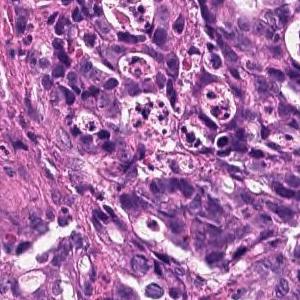
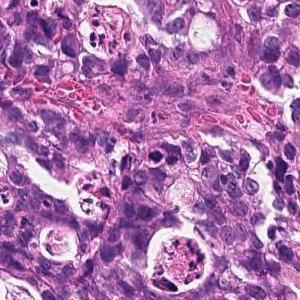
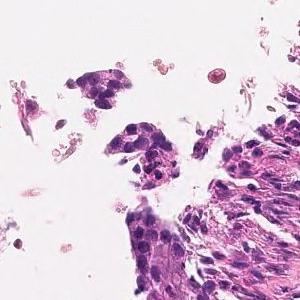
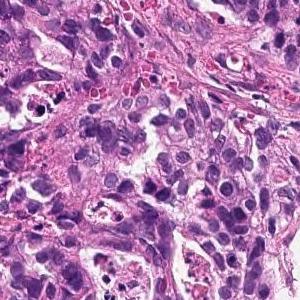
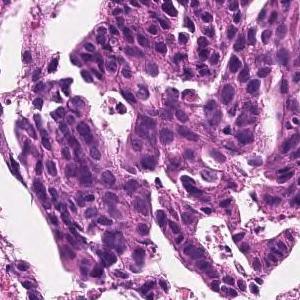
5 image tiles from a single gastric biopsy slide, ×20, hematoxylin and eosin stain.
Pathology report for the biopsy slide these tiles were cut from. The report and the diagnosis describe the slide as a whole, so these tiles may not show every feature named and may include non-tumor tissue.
On the superficial epithelium, tumor tissue consisting of images of small to medium-sized and irregular tubules infiltrating with irregular fusion is observed. moderately differentiated tubular adenocarcinoma
